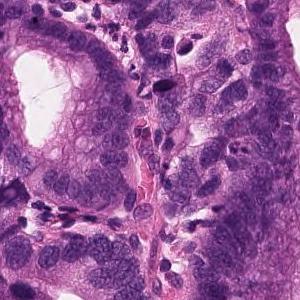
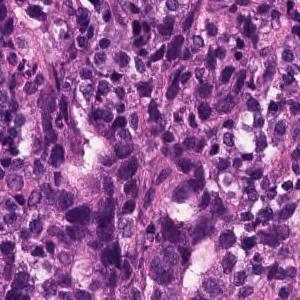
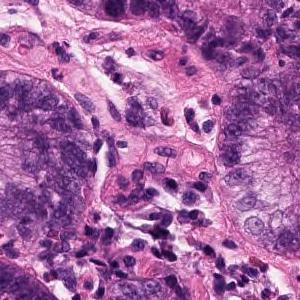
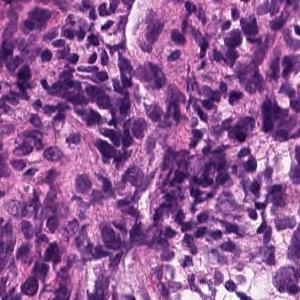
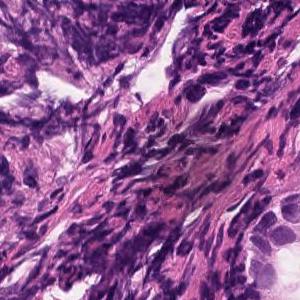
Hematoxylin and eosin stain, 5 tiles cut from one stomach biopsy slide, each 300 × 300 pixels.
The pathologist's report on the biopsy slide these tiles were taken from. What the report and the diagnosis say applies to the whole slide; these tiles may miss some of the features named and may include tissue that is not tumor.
In the superficial epithelium, tumor tissue that invades by forming medium-sized to small, irregular ducts is observed. Moderately differentiated adenocarcinoma.
Tumor subtype: moderately differentiated tubular adenocarcinoma.
